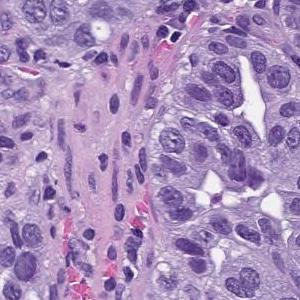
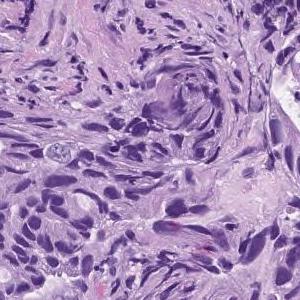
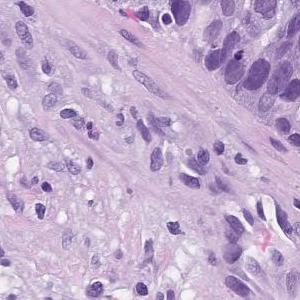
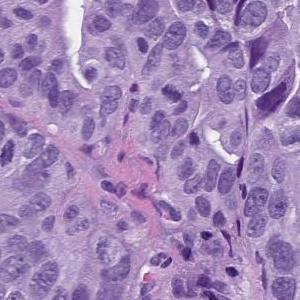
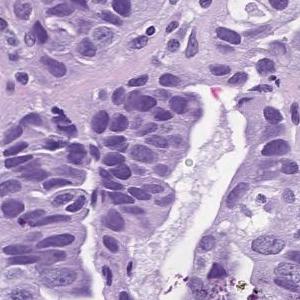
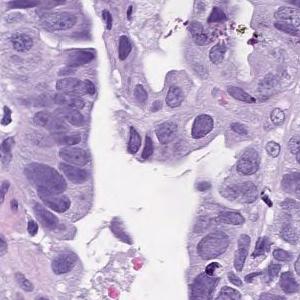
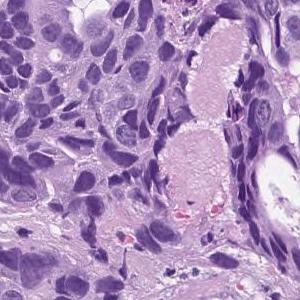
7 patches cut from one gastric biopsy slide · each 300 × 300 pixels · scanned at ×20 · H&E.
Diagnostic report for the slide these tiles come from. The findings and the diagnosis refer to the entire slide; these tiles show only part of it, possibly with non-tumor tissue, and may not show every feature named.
In the superficial epithelium, tumor tissue that invades by forming medium-sized to small, irregular ducts is observed. moderately differentiated tubular adenocarcinoma.
